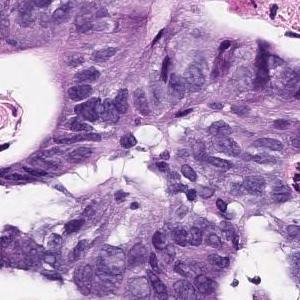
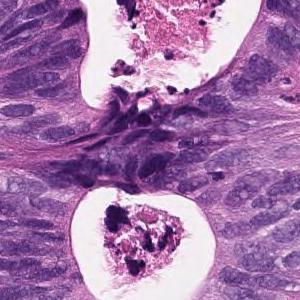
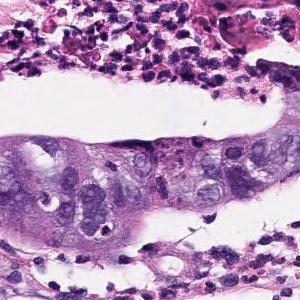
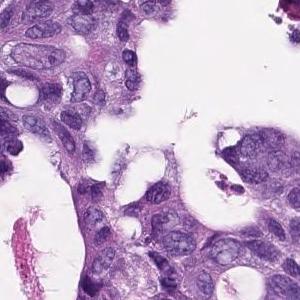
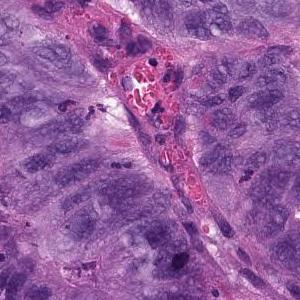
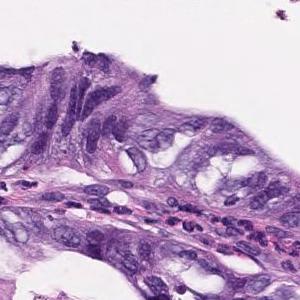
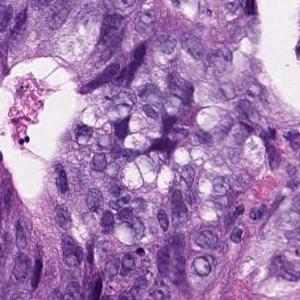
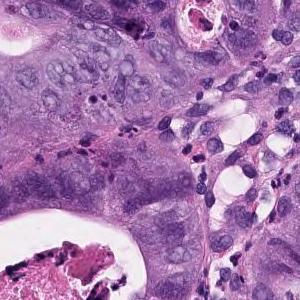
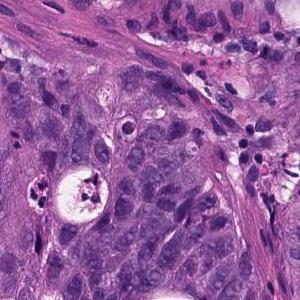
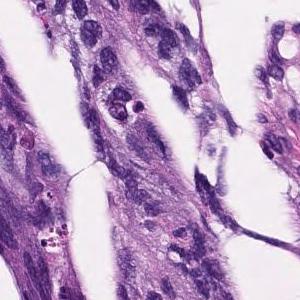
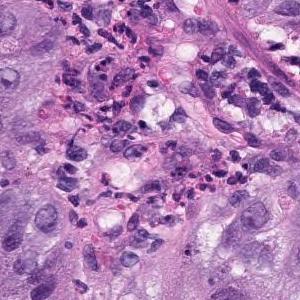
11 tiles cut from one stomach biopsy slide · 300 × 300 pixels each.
Pathology report for the slide these tiles were cut from. The report and the diagnosis cover the entire slide, so not every feature they name need be visible here, and some tissue shown may not be tumor.
In the superficial epithelium, tumor tissue that invades by forming medium-sized to small, irregular ducts is observed. Moderately differentiated adenocarcinoma.
Subtype: Moderately differentiated tubular adenocarcinoma.
